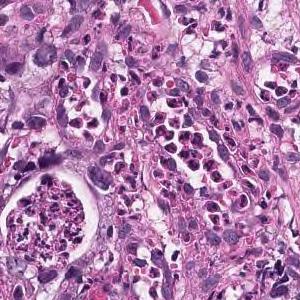
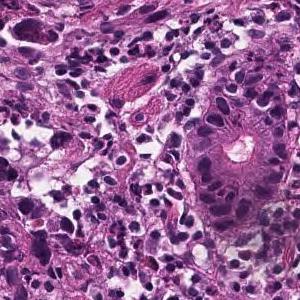
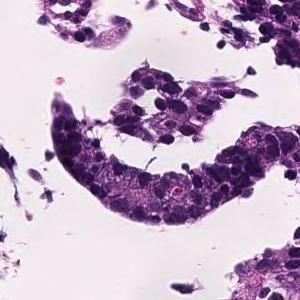
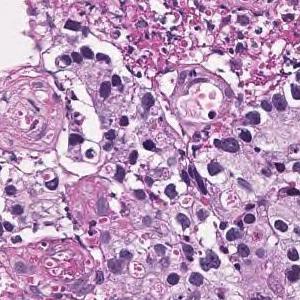
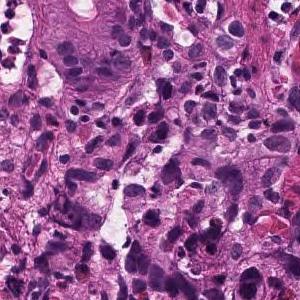
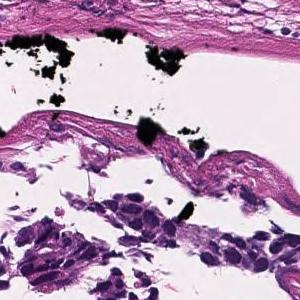
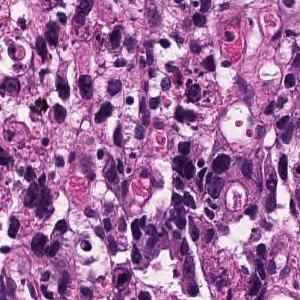
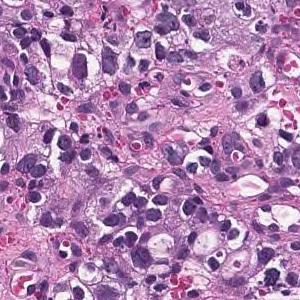
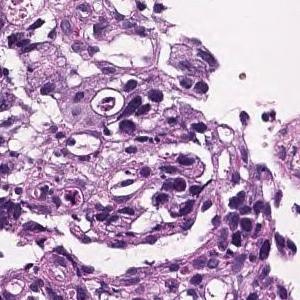
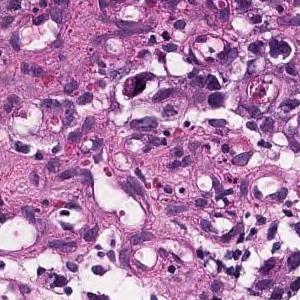
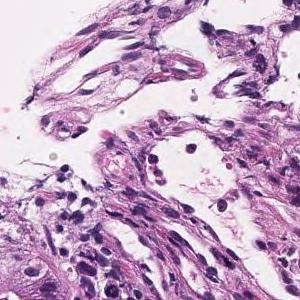
Hematoxylin and eosin stain, scanned at ×20, 11 tiles from the same stomach biopsy slide, 300×300 px each.
The pathologist's report on the biopsy slide these tiles were taken from. Both the report and the diagnosis are for the whole slide: these tiles need not show every feature named, and some of the tissue shown may not be tumor.
Tumor tissue consisting of medium-sized, cord-like or irregular glandular infiltration is observed in the superficial epithelium. Poorly differentiated adenocarcinoma, non-solid type or moderately differentiated tubular adenocarcinoma
"Non-solid type" is a category of the Japanese Classification of Gastric Carcinoma.
